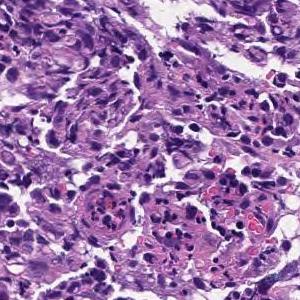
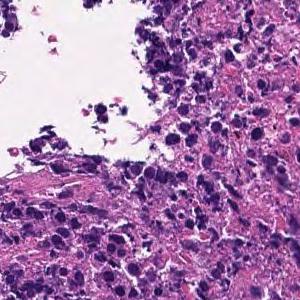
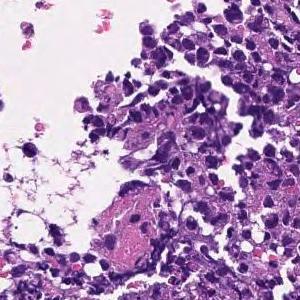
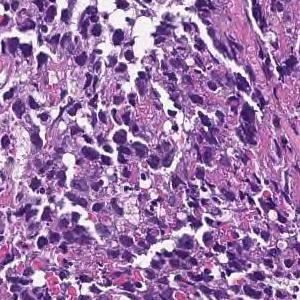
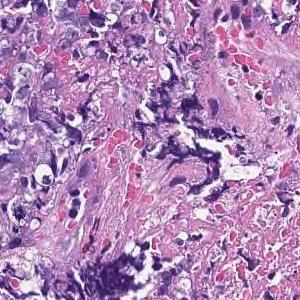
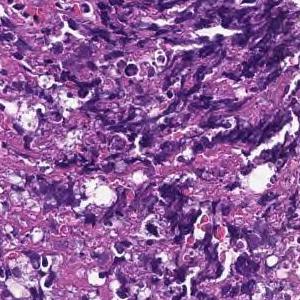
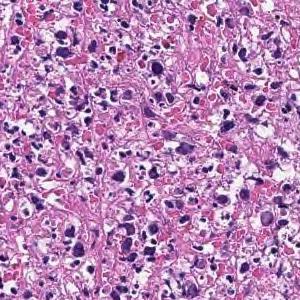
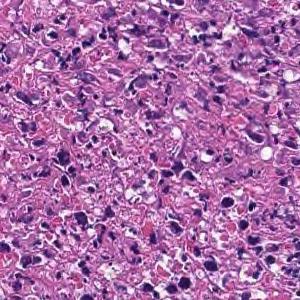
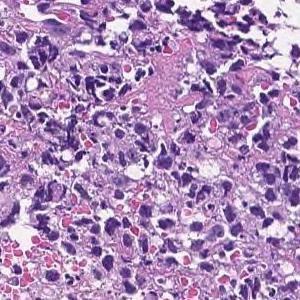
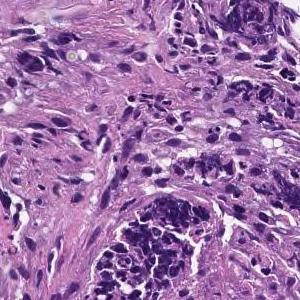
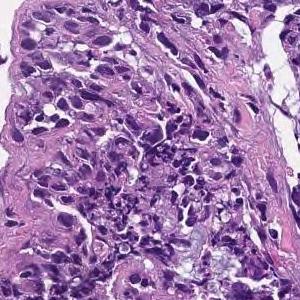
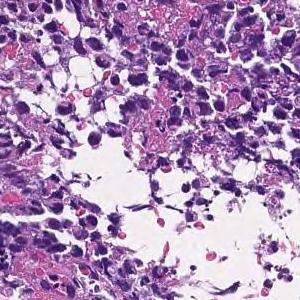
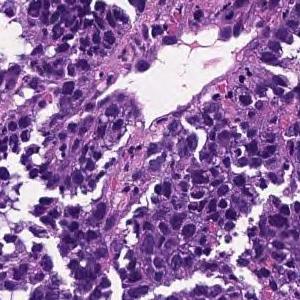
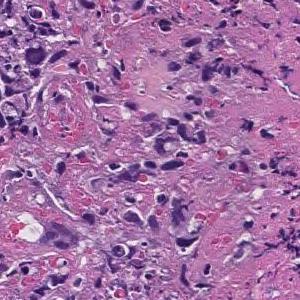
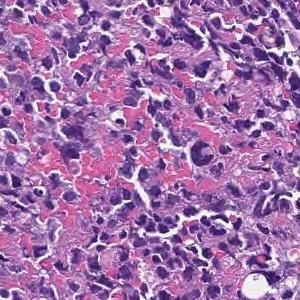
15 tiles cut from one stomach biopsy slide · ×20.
The pathologist's report on the biopsy slide these tiles were taken from. The report and the diagnosis describe the slide as a whole, so these tiles may not show every feature named and may include non-tumor tissue.
Most are composed of coagulative necrotic tissue, but some show a large sheet-like shape, and some show tumor tissue infiltrating with a small cord-like structure. Poorly differentiated adenocarcinoma, solid-type
Histologic type: Poorly differentiated adenocarcinoma, solid type, a category of the Japanese Classification of Gastric Carcinoma; in the WHO 2019 classification it is tubular adenocarcinoma, poorly differentiated.
